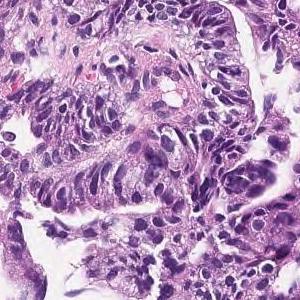
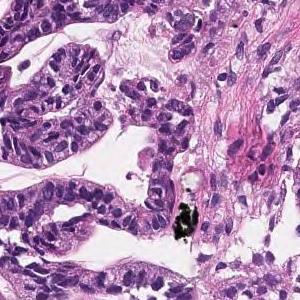
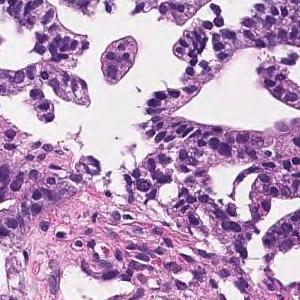
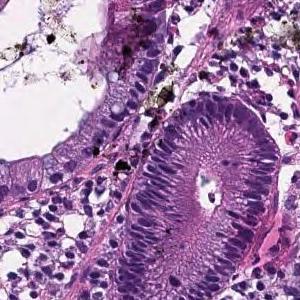
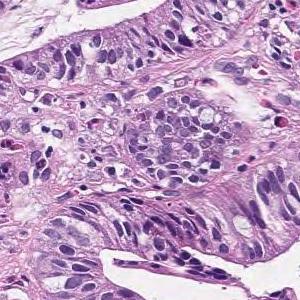
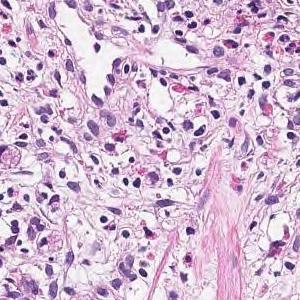
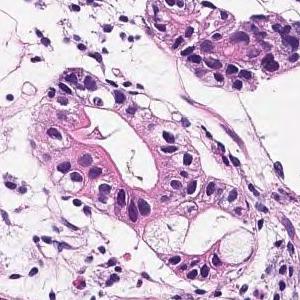
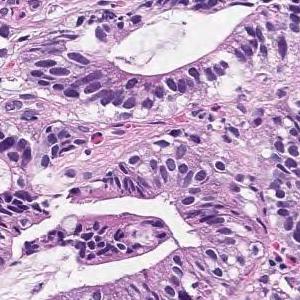
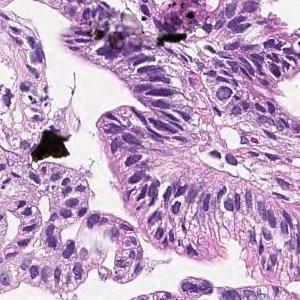
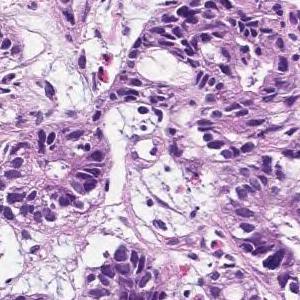
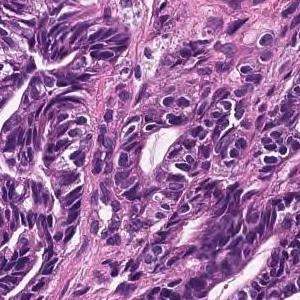
Scanned at ×20 · hematoxylin and eosin stain · 11 tiles from the same stomach biopsy slide.
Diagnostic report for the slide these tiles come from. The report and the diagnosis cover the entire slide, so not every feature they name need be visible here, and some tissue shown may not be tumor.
In the superficial epithelium, tumor tissue that invades by forming medium-sized to small, irregular ducts is observed. Moderately differentiated adenocarcinoma.
Subtype: Moderately differentiated tubular adenocarcinoma.
